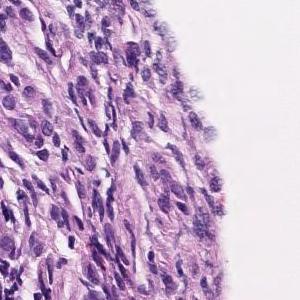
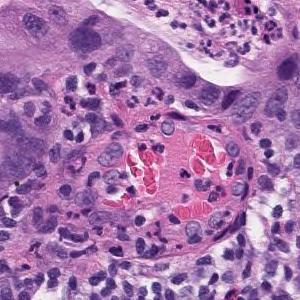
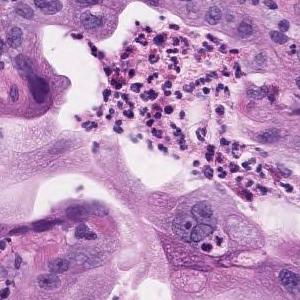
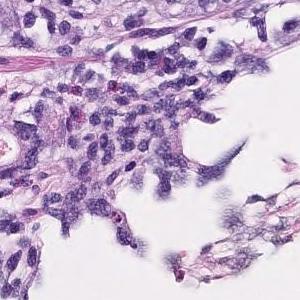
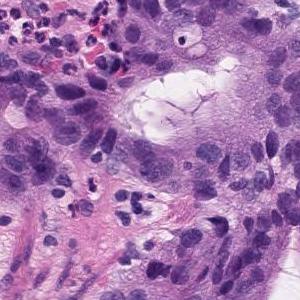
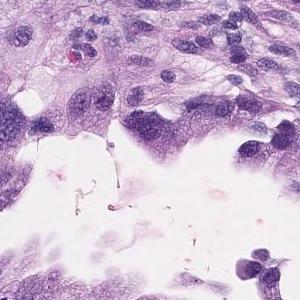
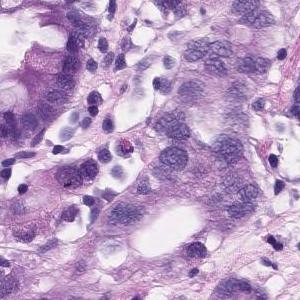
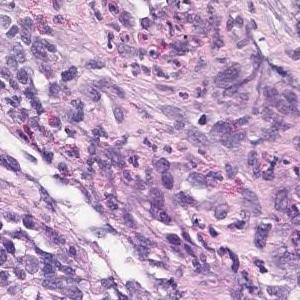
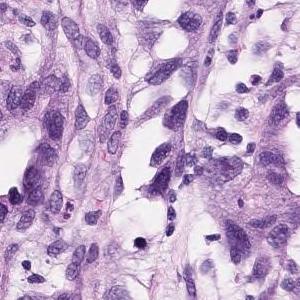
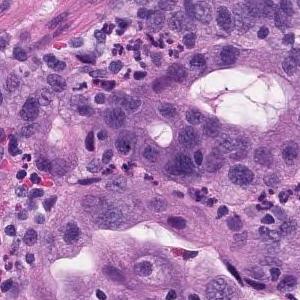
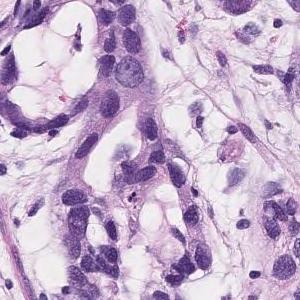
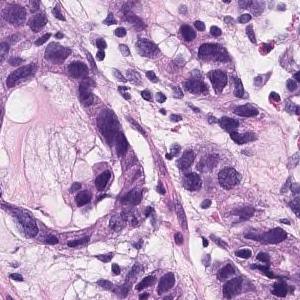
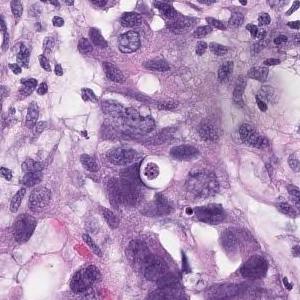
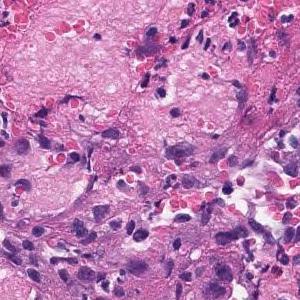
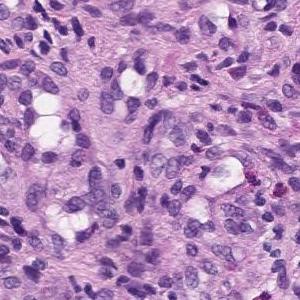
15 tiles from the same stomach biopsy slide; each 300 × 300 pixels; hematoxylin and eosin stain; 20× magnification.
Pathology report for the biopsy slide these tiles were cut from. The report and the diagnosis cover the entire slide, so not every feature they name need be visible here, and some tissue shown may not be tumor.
Group 5, Adenocarcinoma. Moderately to poorly differentiated adenocarcinoma
